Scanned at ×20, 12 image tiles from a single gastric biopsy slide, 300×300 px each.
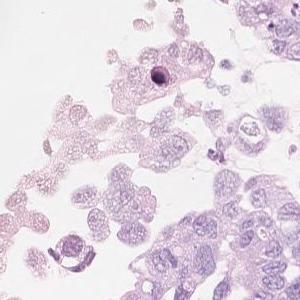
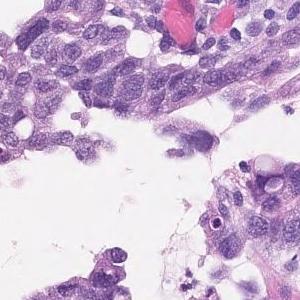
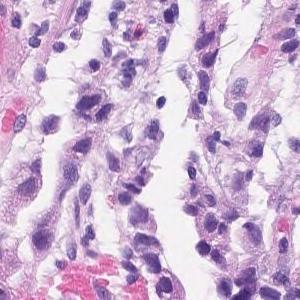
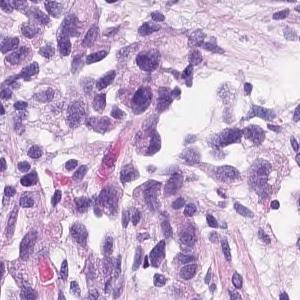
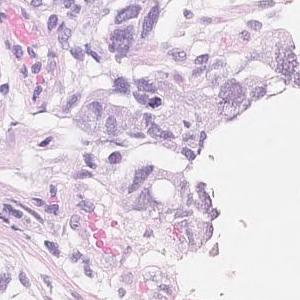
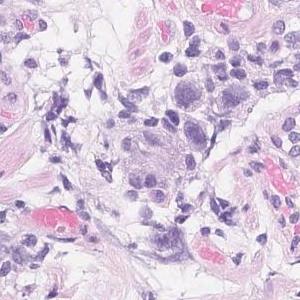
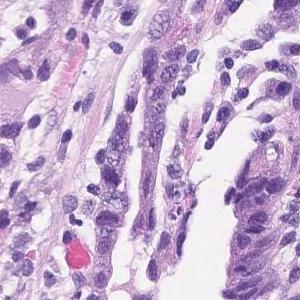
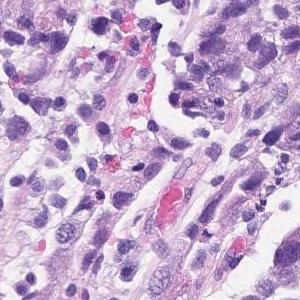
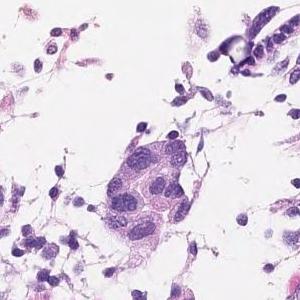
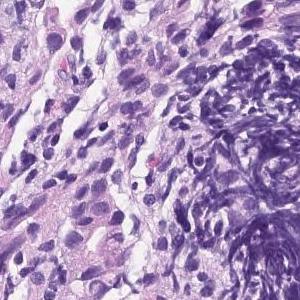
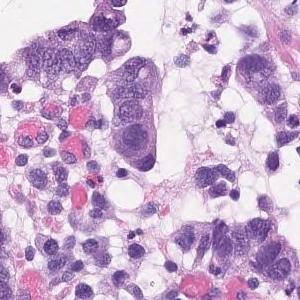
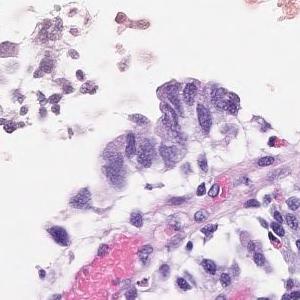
Diagnostic report for the slide these tiles come from. Both the report and the diagnosis are for the whole slide: these tiles need not show every feature named, and some of the tissue shown may not be tumor.
Atypical l cells with atypical nuclei forming solid or diffuse vesicles or small irregular atypical ducts and growing in a complex manner. poorly differentiated adenocarcinoma, solid type, moderately differentiated tubular adenocarcinoma.
Mixed histology: poorly differentiated adenocarcinoma, solid type and moderately differentiated tubular adenocarcinoma.
The term "solid type" comes from the Japanese Classification of Gastric Carcinoma; the WHO 2019 equivalent is tubular adenocarcinoma, poorly differentiated.
